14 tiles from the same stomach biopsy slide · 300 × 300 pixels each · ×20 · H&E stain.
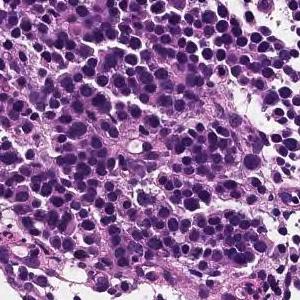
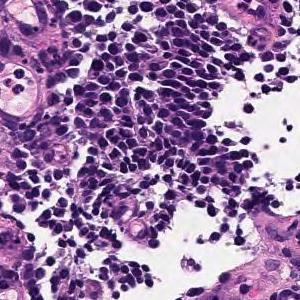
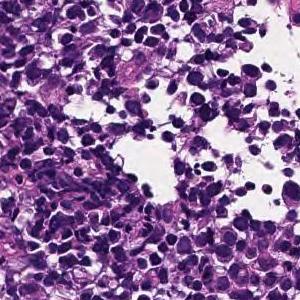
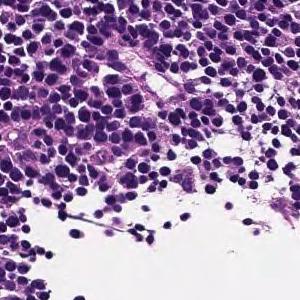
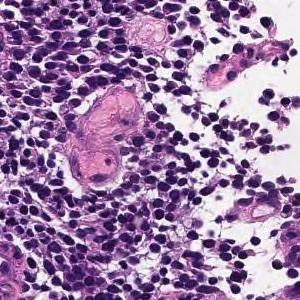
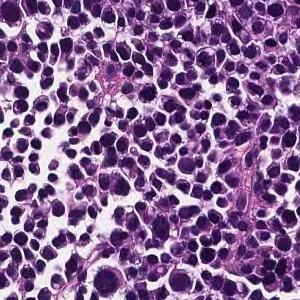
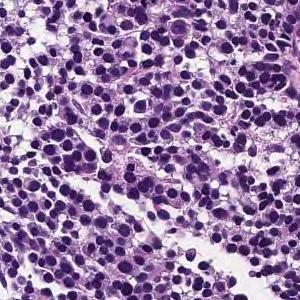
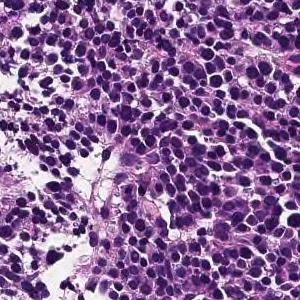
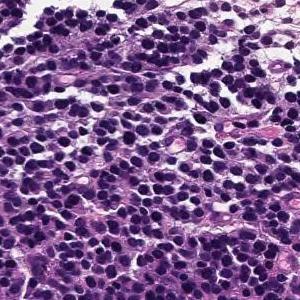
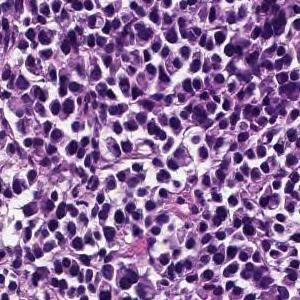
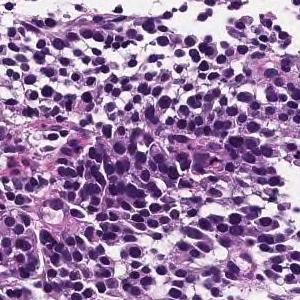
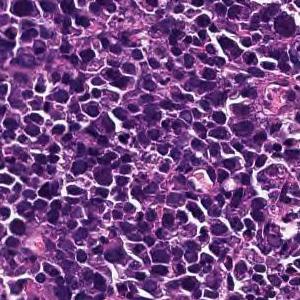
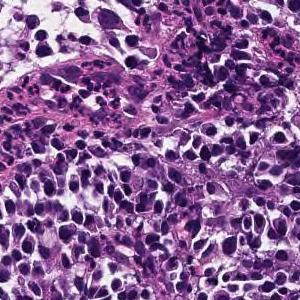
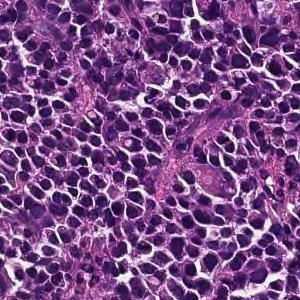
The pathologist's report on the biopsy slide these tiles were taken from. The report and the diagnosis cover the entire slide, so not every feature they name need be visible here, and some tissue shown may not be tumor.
Large sheet-like or diffusely infiltrating tumor tissue is found in the superficial epithelium. Poorly differentiated adenocarcinoma, solid-type
Classified as poorly differentiated adenocarcinoma, solid type (Japanese Classification of Gastric Carcinoma). The WHO 2019 equivalent is tubular adenocarcinoma, poorly differentiated.
